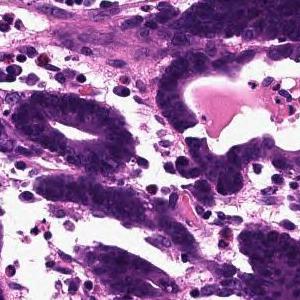
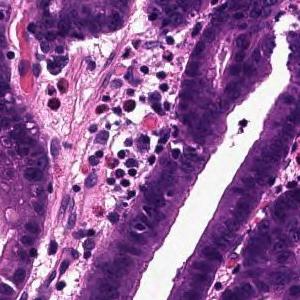
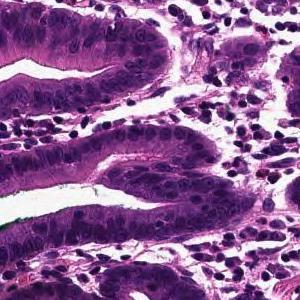
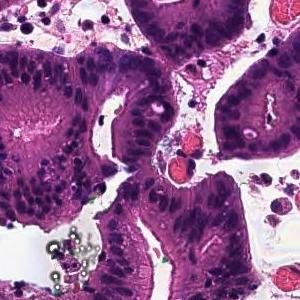
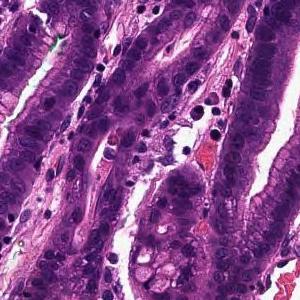
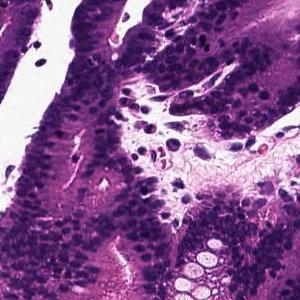
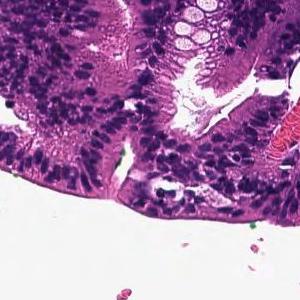
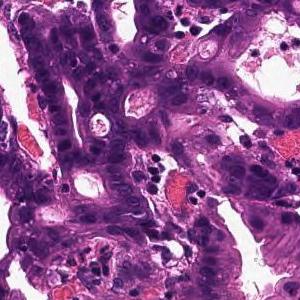
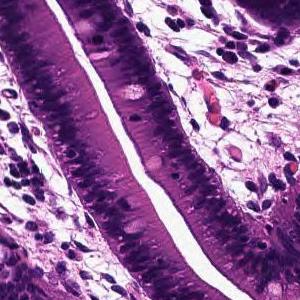
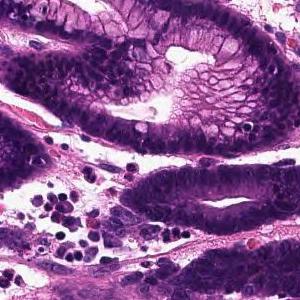
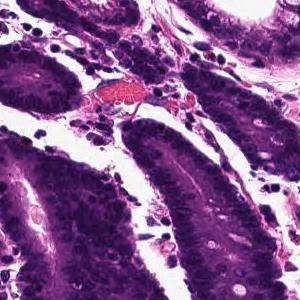
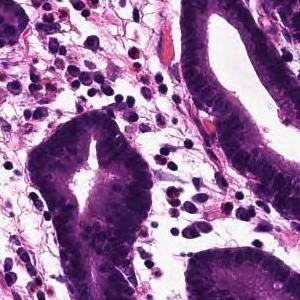
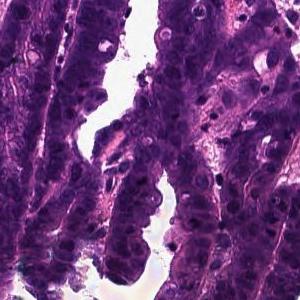
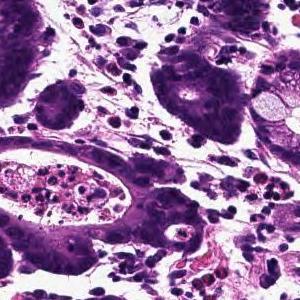
H&E; ×20; 14 tiles from the same stomach biopsy slide.
Diagnostic report for the slide these tiles come from. Both the report and the diagnosis are for the whole slide: these tiles need not show every feature named, and some of the tissue shown may not be tumor.
Tumor tissue that infiltrates by forming large papillary or large irregular glandular ducts is observed confined to the mucosa. Papillary adenocarcinoma
